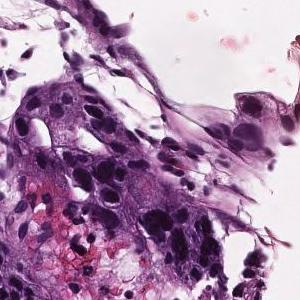
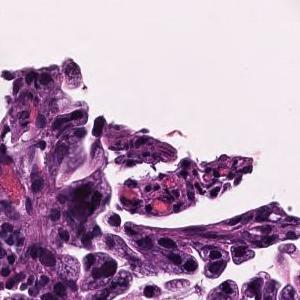
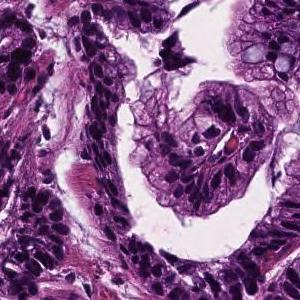
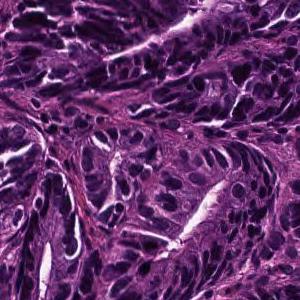
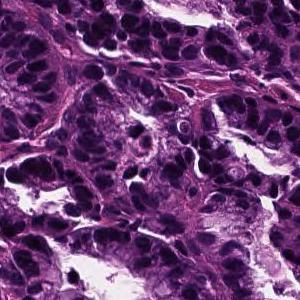
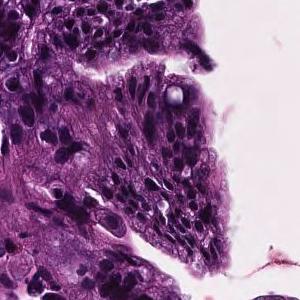
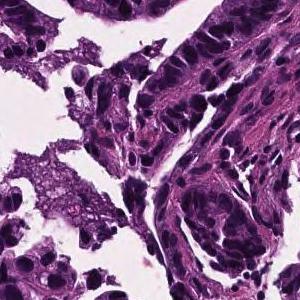
Scanned at ×20; H&E stain; 7 image tiles from a single gastric biopsy slide; each 300 × 300 pixels.
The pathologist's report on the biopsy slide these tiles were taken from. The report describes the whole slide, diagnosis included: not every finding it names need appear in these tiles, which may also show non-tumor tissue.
In the superficial epithelium, tumor tissue that invades by forming medium-sized to small, irregular ducts is observed. Well differentiated tubular adenocarcinoma.
